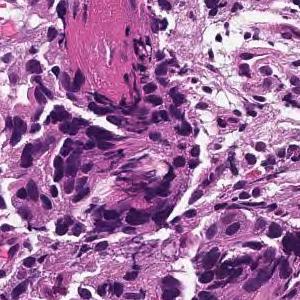
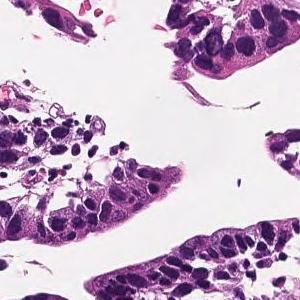
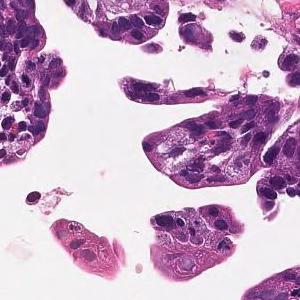
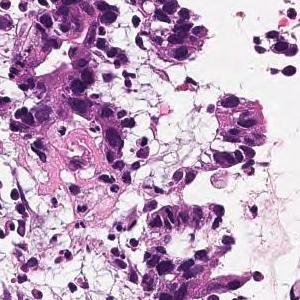
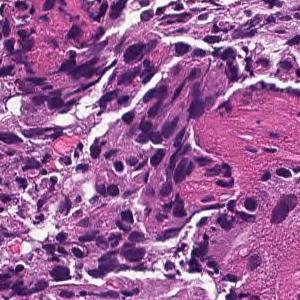
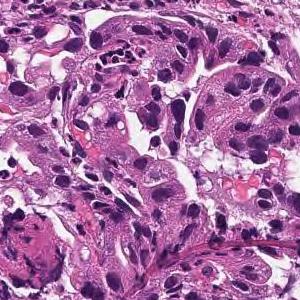
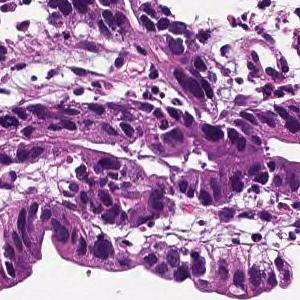
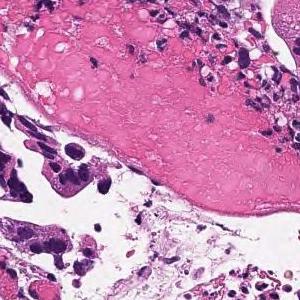
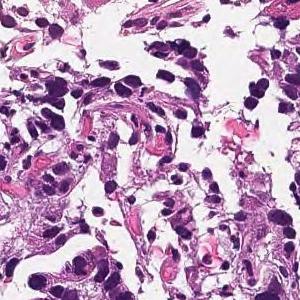
9 tiles cut from one stomach biopsy slide, H&E stain, scanned at ×20.
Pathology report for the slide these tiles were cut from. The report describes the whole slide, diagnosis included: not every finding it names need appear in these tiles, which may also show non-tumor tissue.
In the superficial epithelium, tumor tissue that invades by forming medium-sized to small, irregular ducts is observed. moderately differentiated tubular adenocarcinoma.
